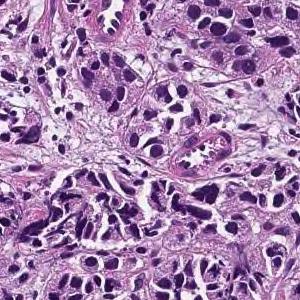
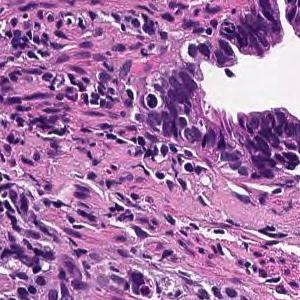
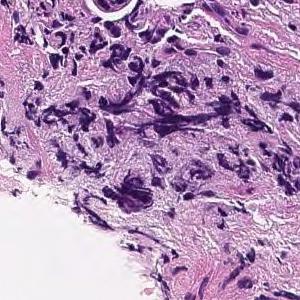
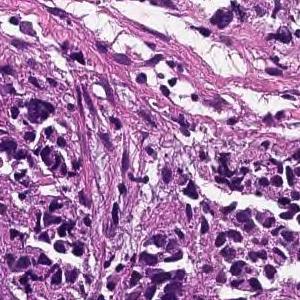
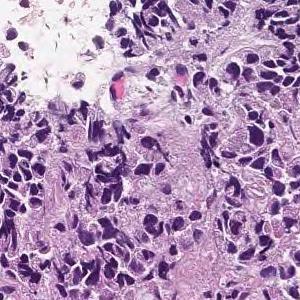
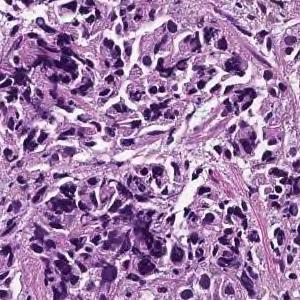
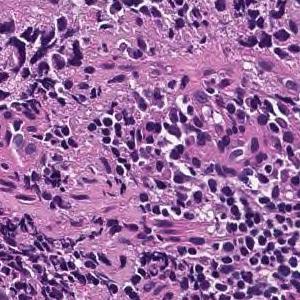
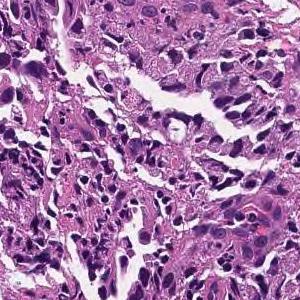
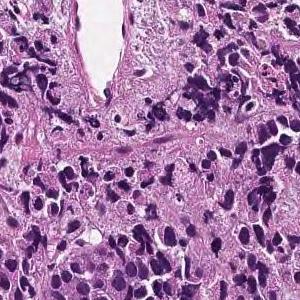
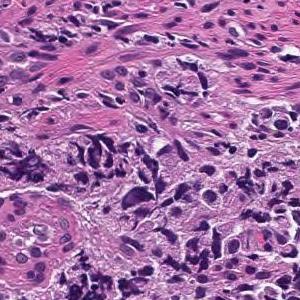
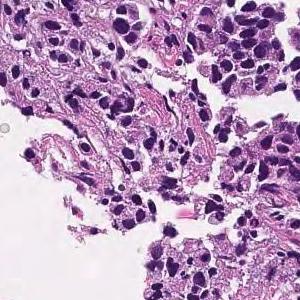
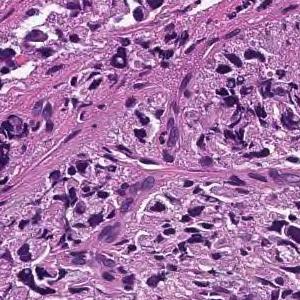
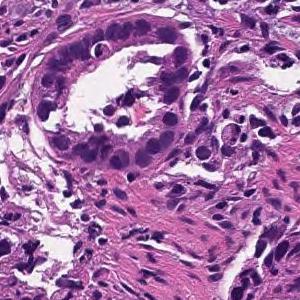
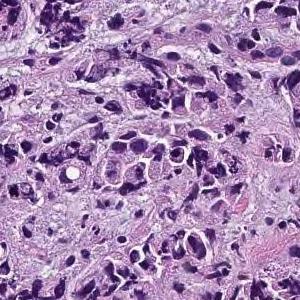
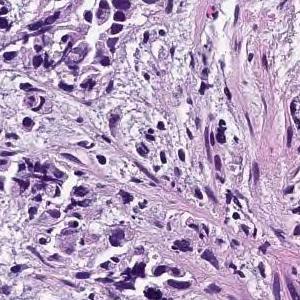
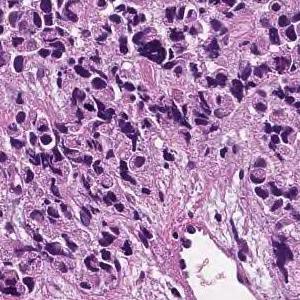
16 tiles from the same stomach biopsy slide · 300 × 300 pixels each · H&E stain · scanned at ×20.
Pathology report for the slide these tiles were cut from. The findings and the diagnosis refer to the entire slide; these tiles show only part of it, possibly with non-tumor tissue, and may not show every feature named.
The lamina propria shows small cord-like tumor tissue that infiltrates with fibrosis and marked chronic inflammatory cell infiltration. Poorly differentiated adenocarcinoma, non-solid type
"Non-solid type" is a category of the Japanese Classification of Gastric Carcinoma.
